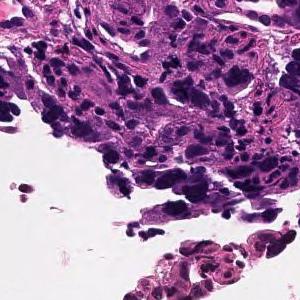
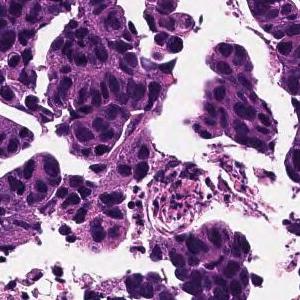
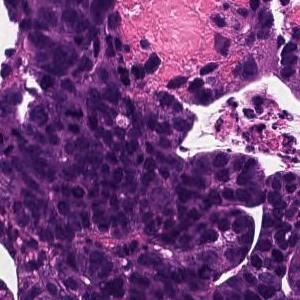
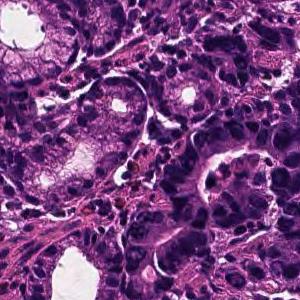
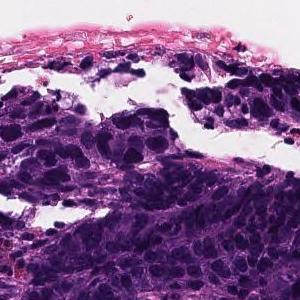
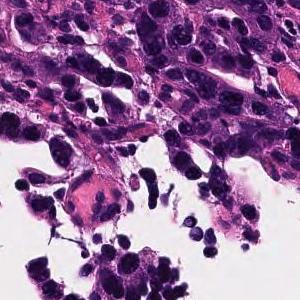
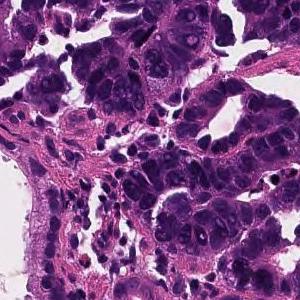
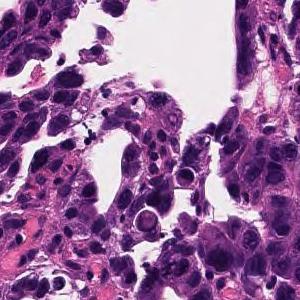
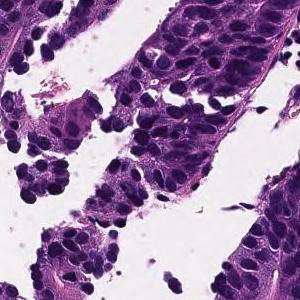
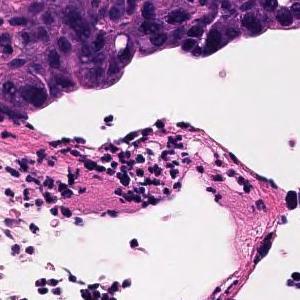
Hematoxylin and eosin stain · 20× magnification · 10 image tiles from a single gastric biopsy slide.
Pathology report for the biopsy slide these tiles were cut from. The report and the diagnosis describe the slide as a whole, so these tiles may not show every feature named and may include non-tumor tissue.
In the superficial epithelium, tumor tissue that invades by forming medium-sized to small, irregular ducts is observed. moderately differentiated tubular adenocarcinoma.
